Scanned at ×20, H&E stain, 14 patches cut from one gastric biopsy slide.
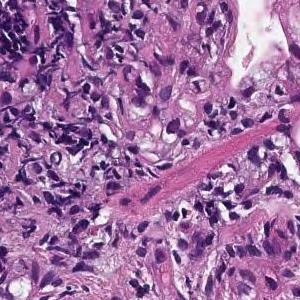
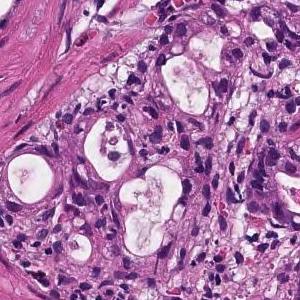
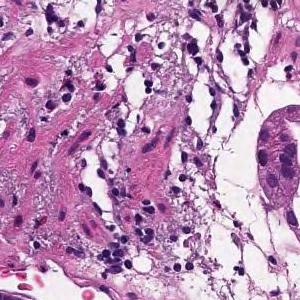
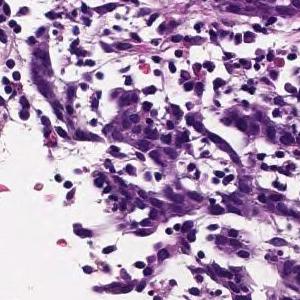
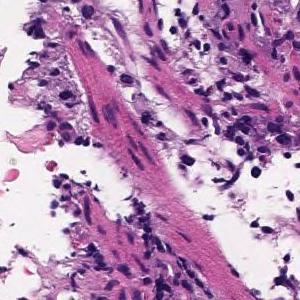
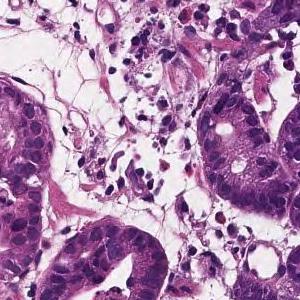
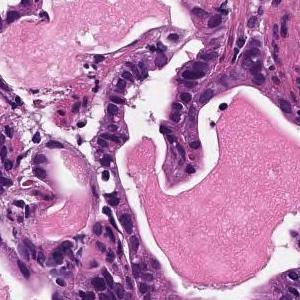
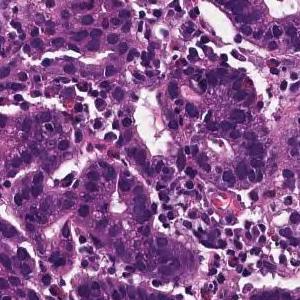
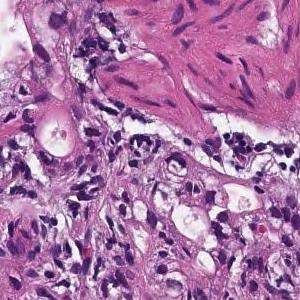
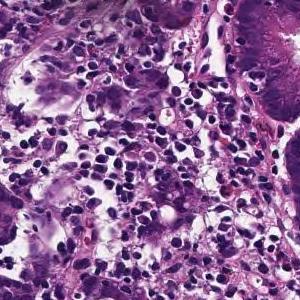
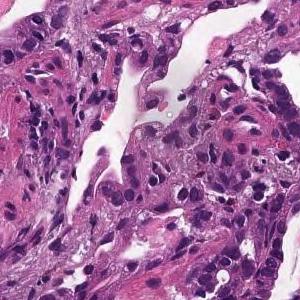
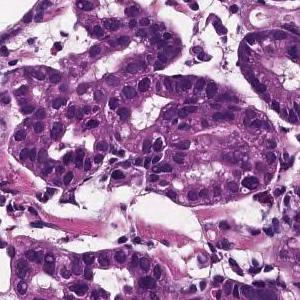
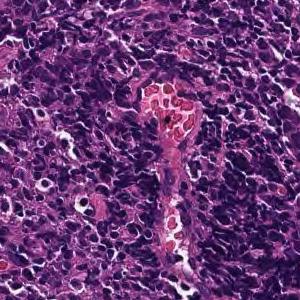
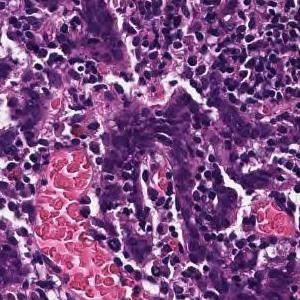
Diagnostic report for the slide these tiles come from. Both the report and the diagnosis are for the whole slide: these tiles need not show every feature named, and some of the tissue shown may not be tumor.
Tumor tissue consisting of medium-sized, cord-like or irregular glandular infiltration is observed in the superficial epithelium. Poorly differentiated adenocarcinoma, non-solid type or moderately differentiated tubular adenocarcinoma
Histologic type: Moderately to poorly differentiated adenocarcinoma.
The non-solid type named here is a Japanese Classification of Gastric Carcinoma category.
